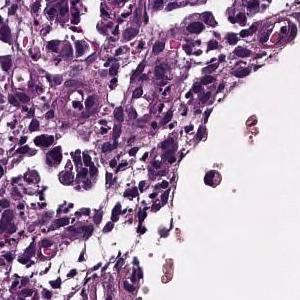
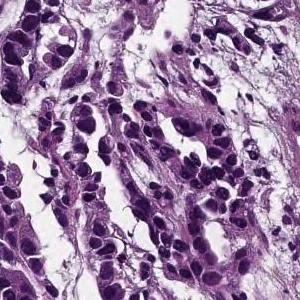
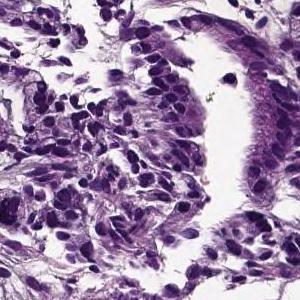
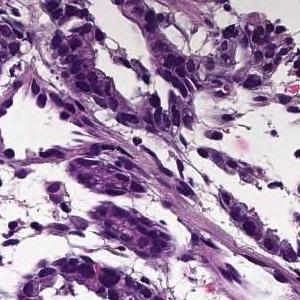
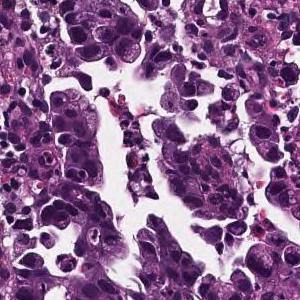
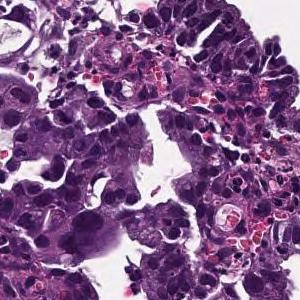
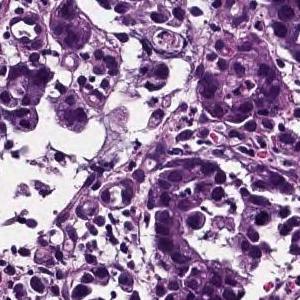
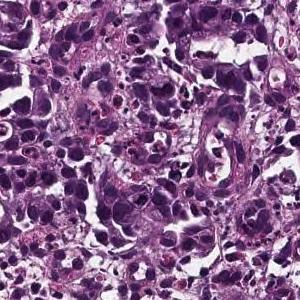
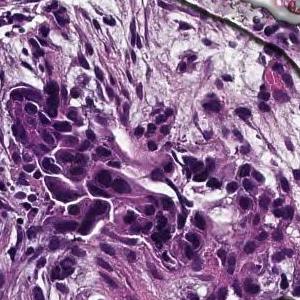
9 tiles cut from one stomach biopsy slide, 300 × 300 pixels each, hematoxylin and eosin stain.
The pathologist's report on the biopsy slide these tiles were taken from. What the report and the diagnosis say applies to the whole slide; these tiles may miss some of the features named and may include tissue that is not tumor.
Medium to small, irregular glandular ducts are formed in the superficial epithelium, and in some cases, the glandular ducts are fused to show solid alveolar lesions and infiltrating tumor tissue is observed. Moderately to poorly differentiated adenocarcinoma.
